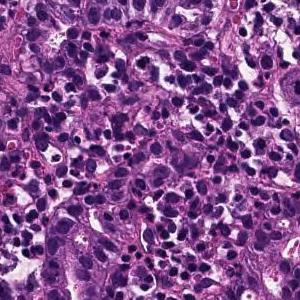
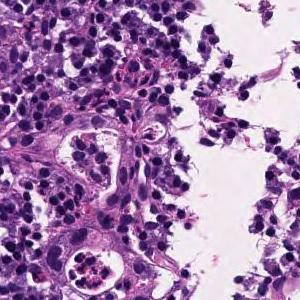
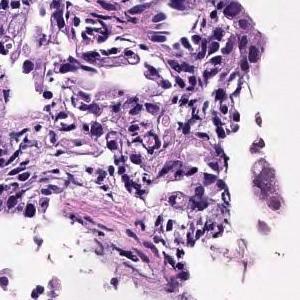
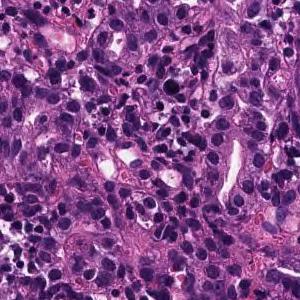
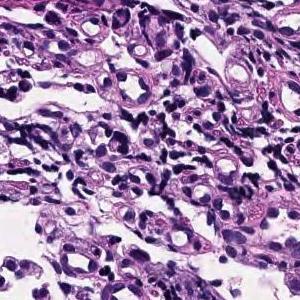
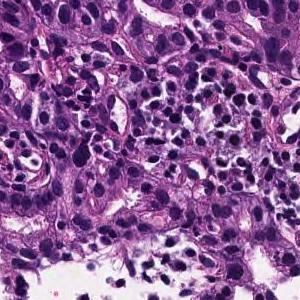
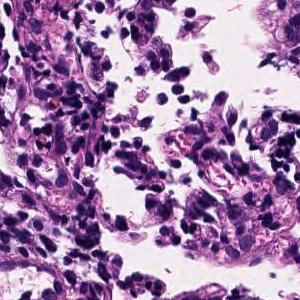
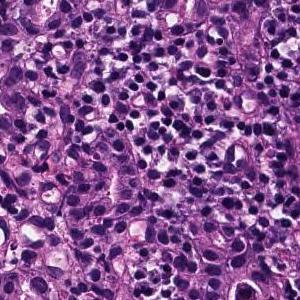
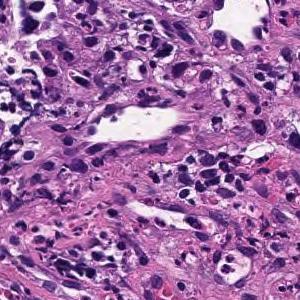
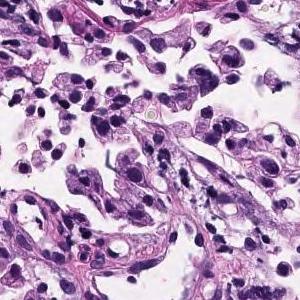
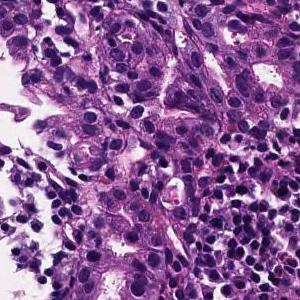
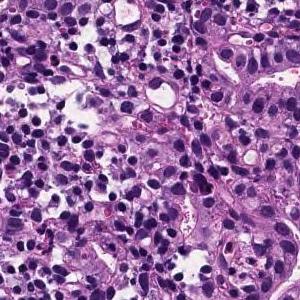
12 image tiles from a single gastric biopsy slide · 300 × 300 pixels each.
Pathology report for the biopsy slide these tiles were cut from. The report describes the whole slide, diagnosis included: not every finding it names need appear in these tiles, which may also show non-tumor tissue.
Medium to small, irregular glandular ducts are formed in the superficial epithelium, and in some cases, the glandular ducts are fused to show solid alveolar lesions and infiltrating tumor tissue is observed. Moderately to poorly differentiated adenocarcinoma.
